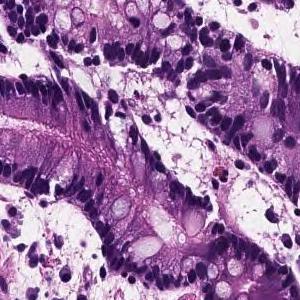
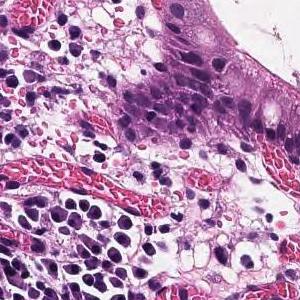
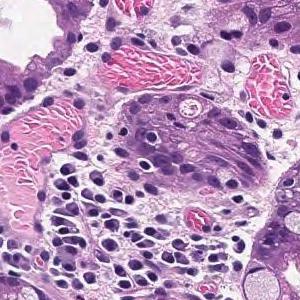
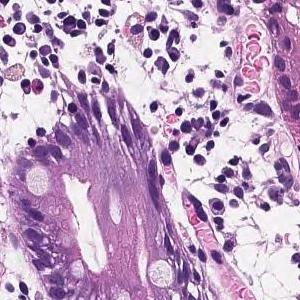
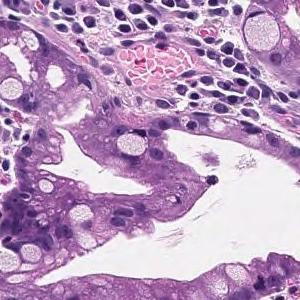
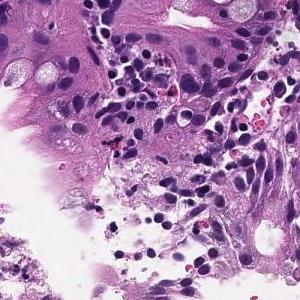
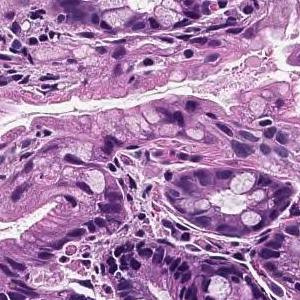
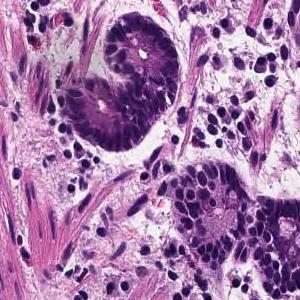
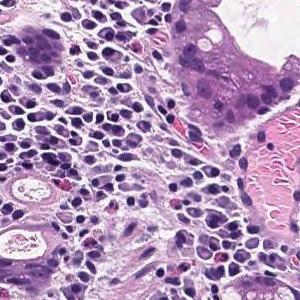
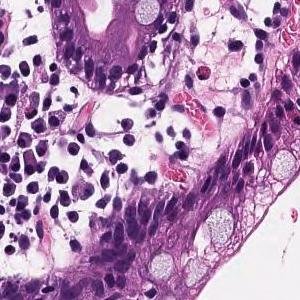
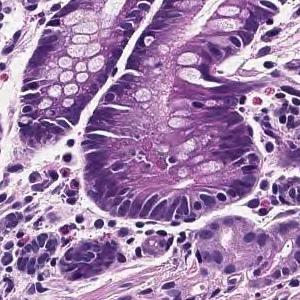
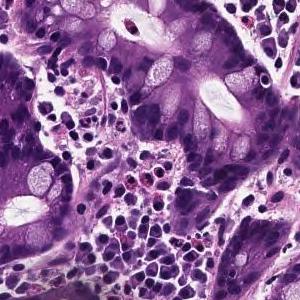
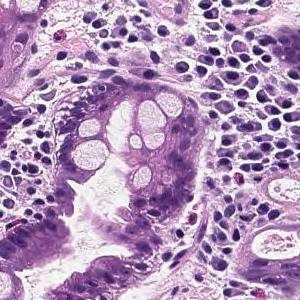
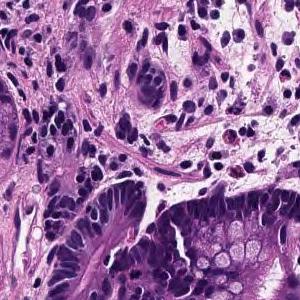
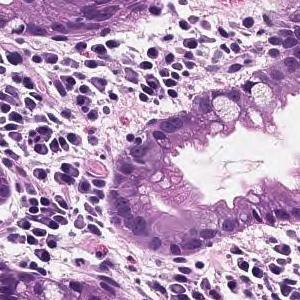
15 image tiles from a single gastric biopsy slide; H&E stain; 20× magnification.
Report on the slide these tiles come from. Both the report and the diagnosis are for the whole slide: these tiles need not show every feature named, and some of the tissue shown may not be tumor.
From the superficial epithelium to the muscularis mucosae, tumor tissue consisting of medium-sized and irregular glandular ducts infiltrating is observed. Well differentiated tubular adenocarcinoma
